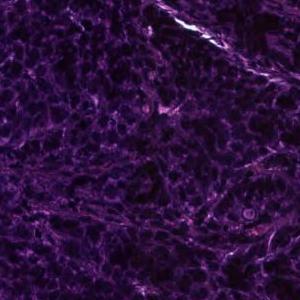
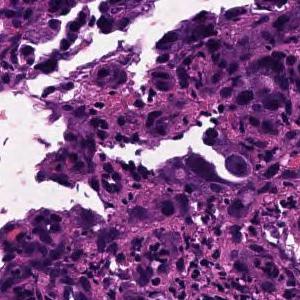
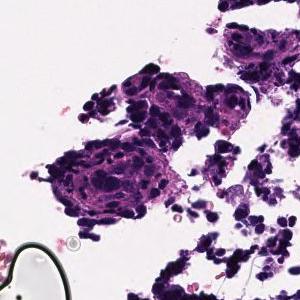
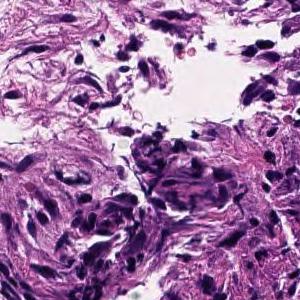
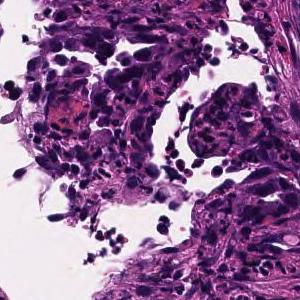
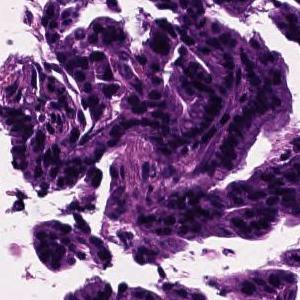
20× magnification; H&E stain; 6 tiles cut from one stomach biopsy slide.
The pathologist's report on the biopsy slide these tiles were taken from. The findings and the diagnosis refer to the entire slide; these tiles show only part of it, possibly with non-tumor tissue, and may not show every feature named.
In the superficial epithelium, tumor tissue that invades by forming medium-sized to small, irregular ducts is observed. moderately differentiated tubular adenocarcinoma.
